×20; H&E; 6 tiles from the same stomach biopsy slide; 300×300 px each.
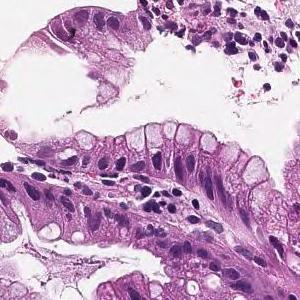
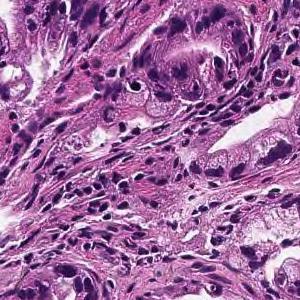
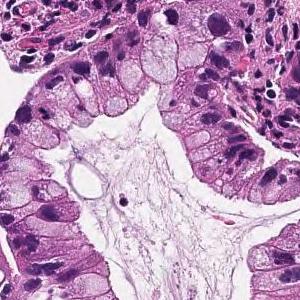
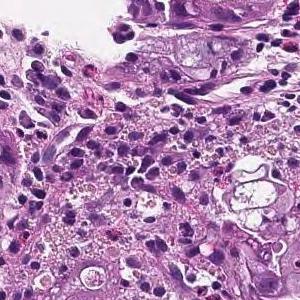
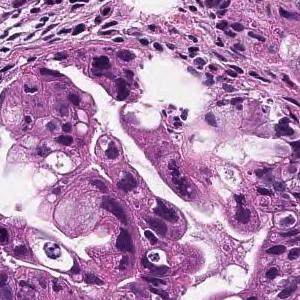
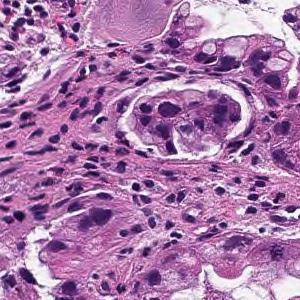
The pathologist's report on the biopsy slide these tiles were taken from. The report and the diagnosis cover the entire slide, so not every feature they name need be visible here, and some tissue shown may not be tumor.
From the superficial epithelium to the muscularis mucosae, tumor tissue consisting of medium-sized and irregular glandular ducts infiltrating is observed. Well differentiated tubular adenocarcinoma
